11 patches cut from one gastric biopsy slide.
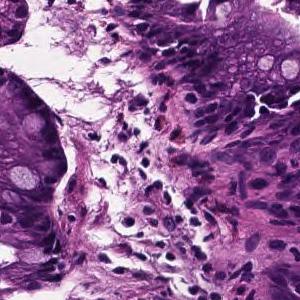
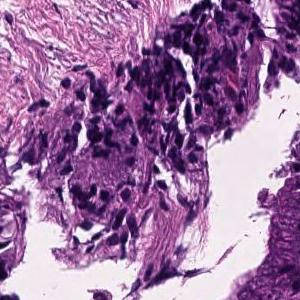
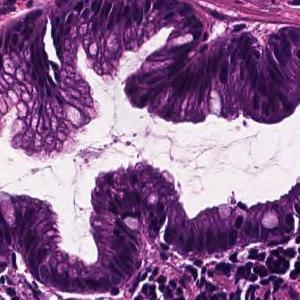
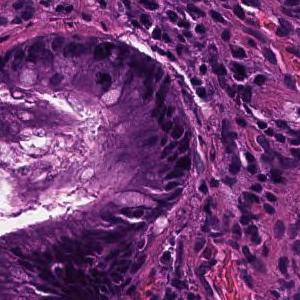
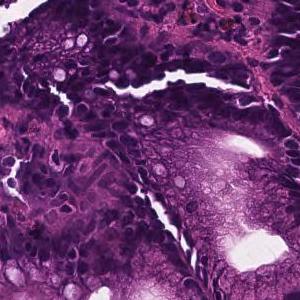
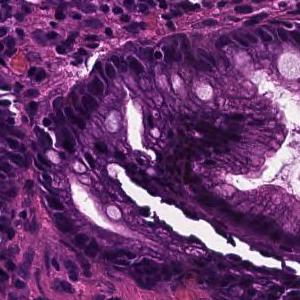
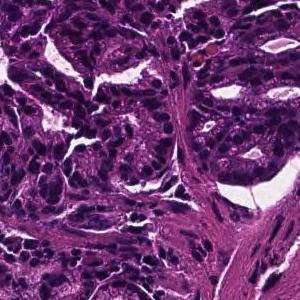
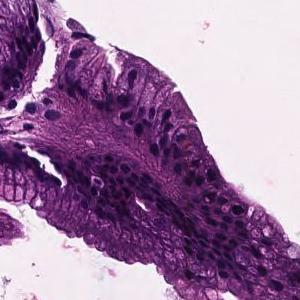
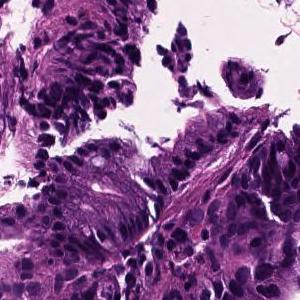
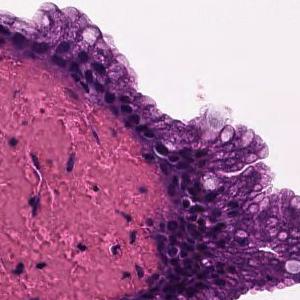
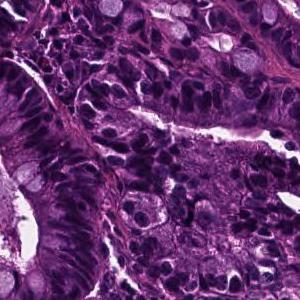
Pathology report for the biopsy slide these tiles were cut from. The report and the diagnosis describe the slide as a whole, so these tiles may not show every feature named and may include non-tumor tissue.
In the superficial epithelium, tumor tissue that invades by forming medium-sized to small, irregular ducts is observed. Well differentiated tubular adenocarcinoma.
